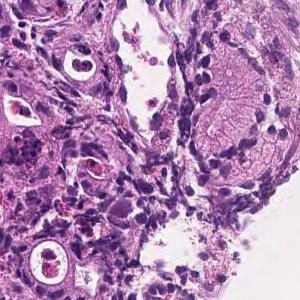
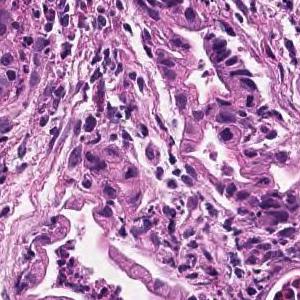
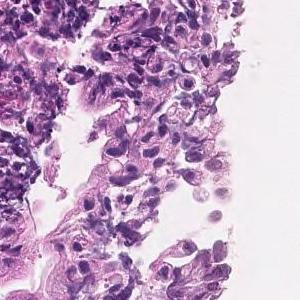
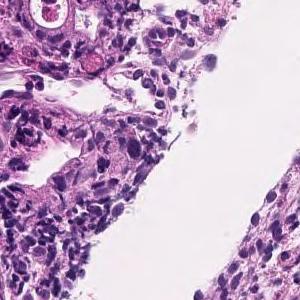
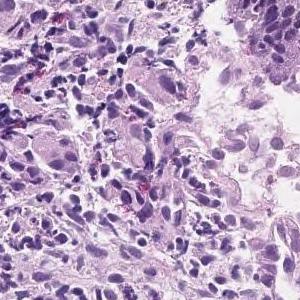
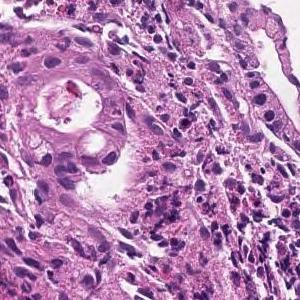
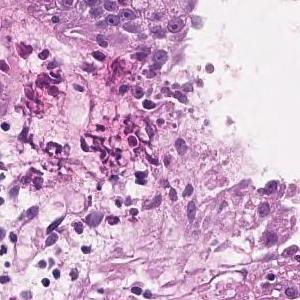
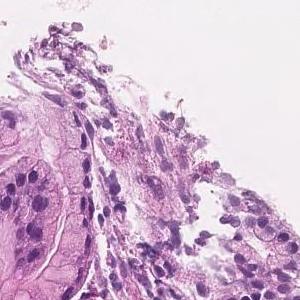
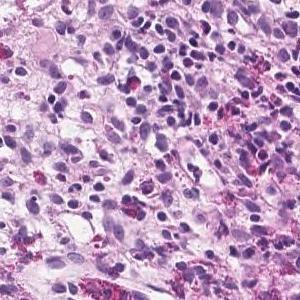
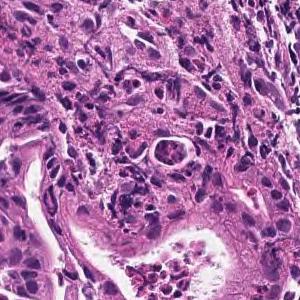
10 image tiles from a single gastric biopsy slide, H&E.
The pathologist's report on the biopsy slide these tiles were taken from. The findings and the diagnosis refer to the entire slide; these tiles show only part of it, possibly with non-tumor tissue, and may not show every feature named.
In the superficial epithelium, tumor tissue that invades by forming medium-sized to small, irregular ducts is observed. moderately differentiated tubular adenocarcinoma.
